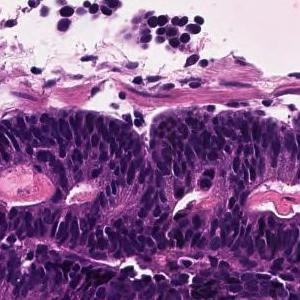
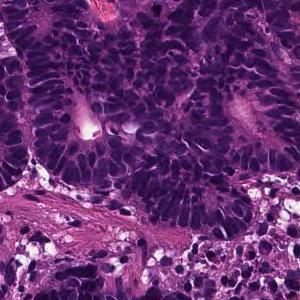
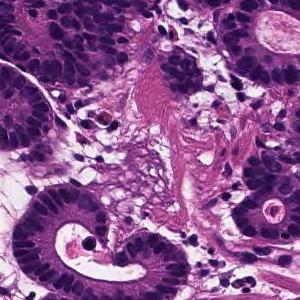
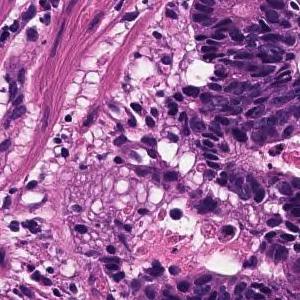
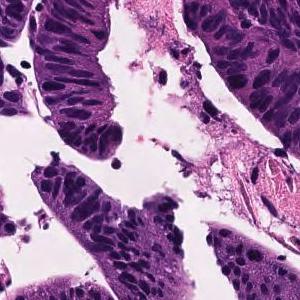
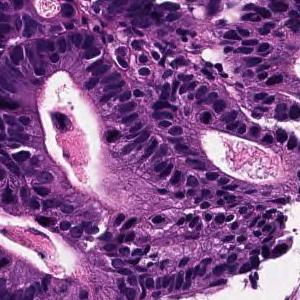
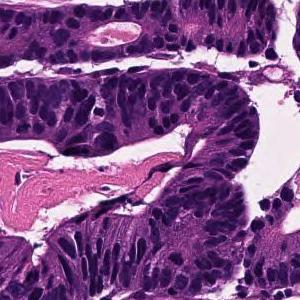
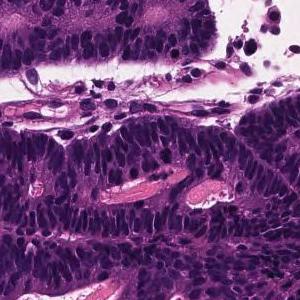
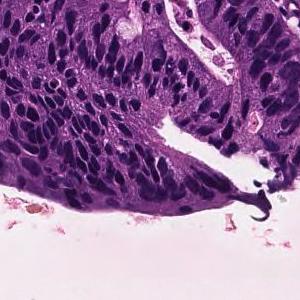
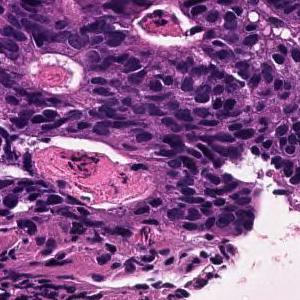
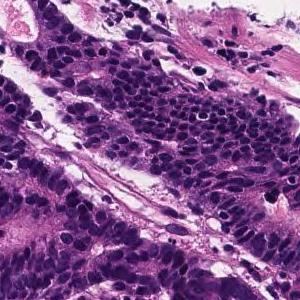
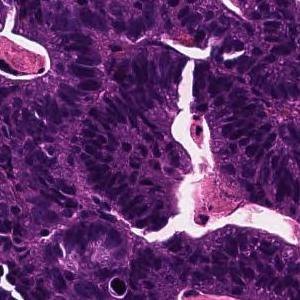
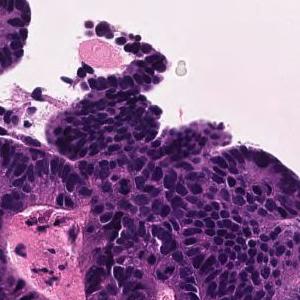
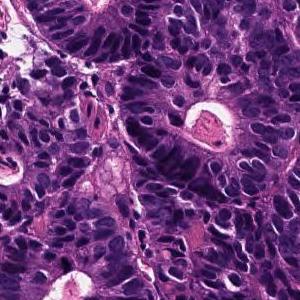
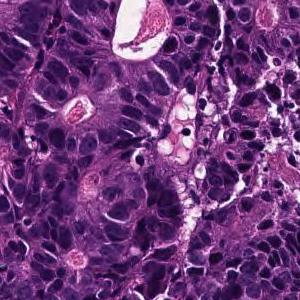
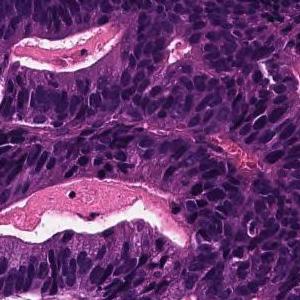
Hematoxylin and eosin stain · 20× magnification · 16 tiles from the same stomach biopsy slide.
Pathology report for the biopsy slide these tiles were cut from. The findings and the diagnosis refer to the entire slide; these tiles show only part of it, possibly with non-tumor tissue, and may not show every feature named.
In the superficial epithelium, tumor tissue that invades by forming medium-sized to small, irregular ducts is observed. moderately differentiated tubular adenocarcinoma.
